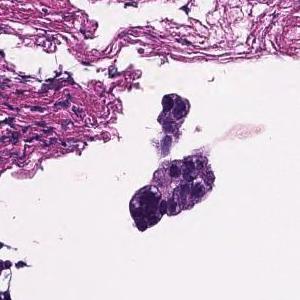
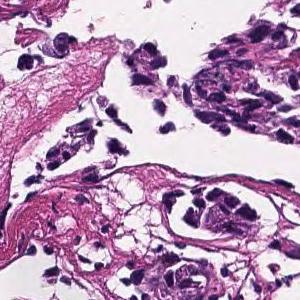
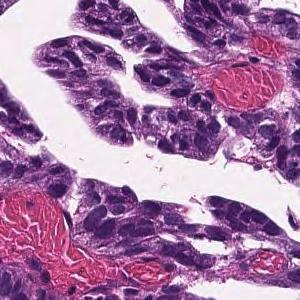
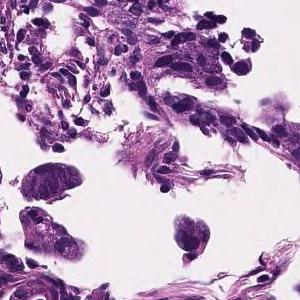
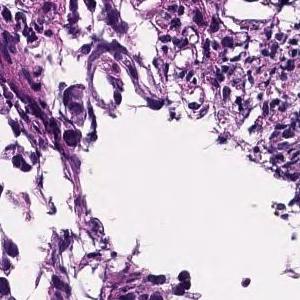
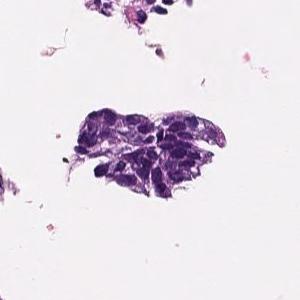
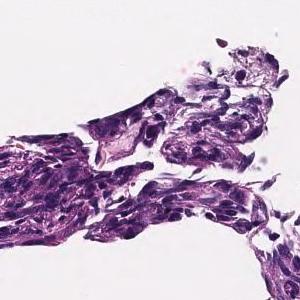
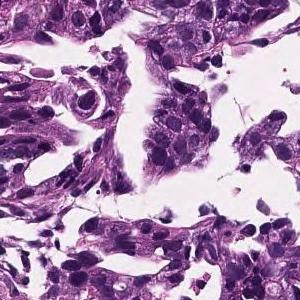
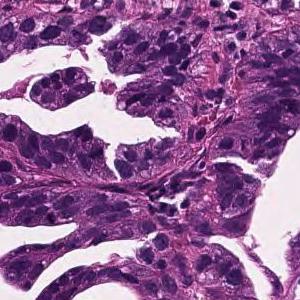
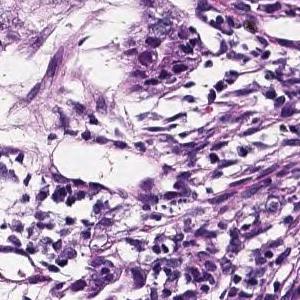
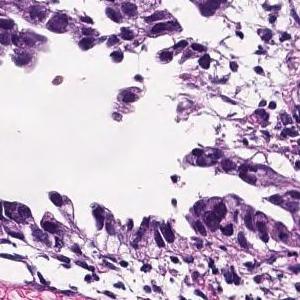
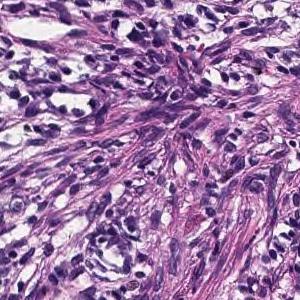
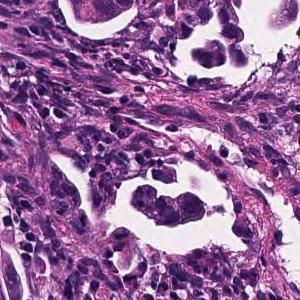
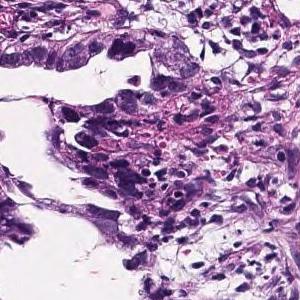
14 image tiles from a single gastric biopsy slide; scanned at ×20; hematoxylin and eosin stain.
The pathologist's report on the biopsy slide these tiles were taken from. The report and the diagnosis cover the entire slide, so not every feature they name need be visible here, and some tissue shown may not be tumor.
In the lamina propria, tumor tissue that invades by forming medium-sized to small, irregular glandular ducts is observed. moderately differentiated tubular adenocarcinoma
